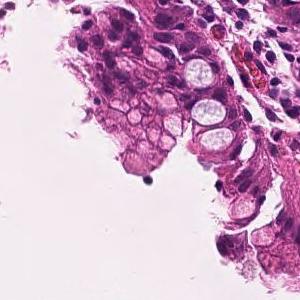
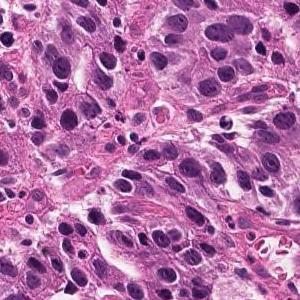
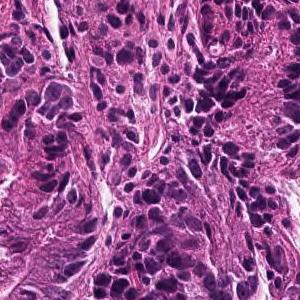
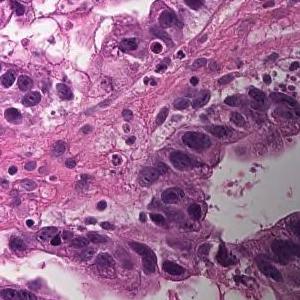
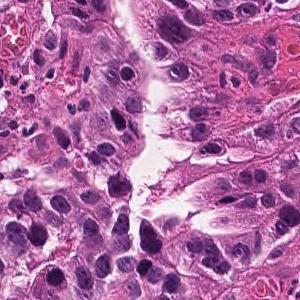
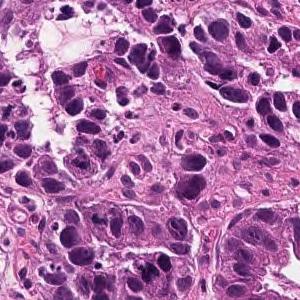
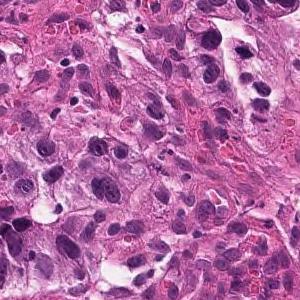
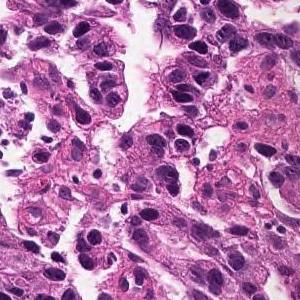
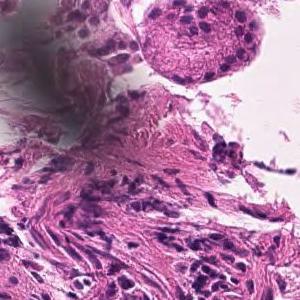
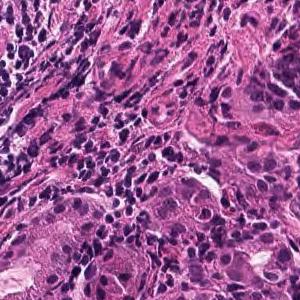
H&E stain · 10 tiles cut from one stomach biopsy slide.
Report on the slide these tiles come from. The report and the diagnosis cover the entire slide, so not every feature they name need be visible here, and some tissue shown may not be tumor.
Tumor tissue consisting of medium-sized, cord-like or irregular glandular infiltration is observed in the superficial epithelium. Poorly differentiated adenocarcinoma, non-solid type or moderately differentiated tubular adenocarcinoma
Histologic type: Moderately to poorly differentiated adenocarcinoma.
The term "non-solid type" comes from the Japanese Classification of Gastric Carcinoma.
